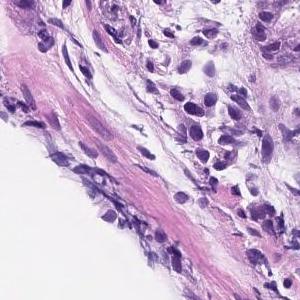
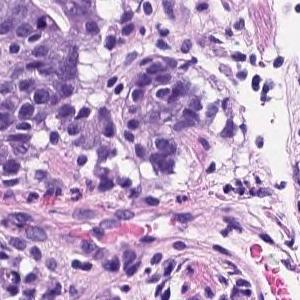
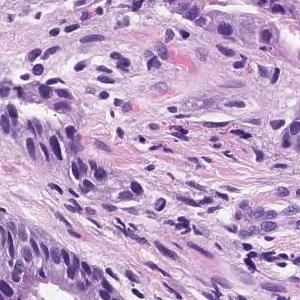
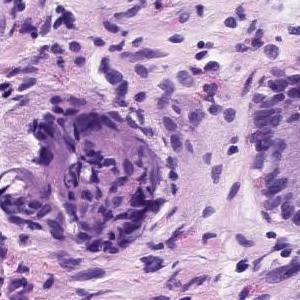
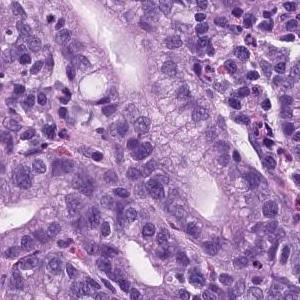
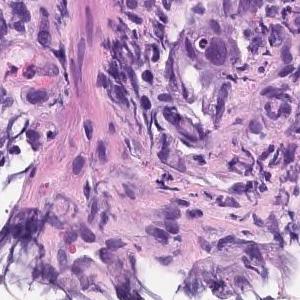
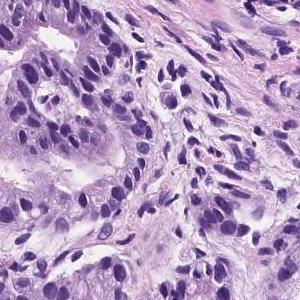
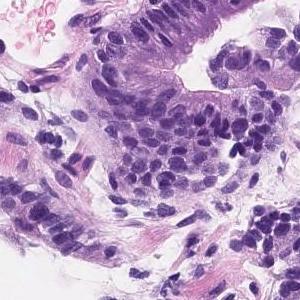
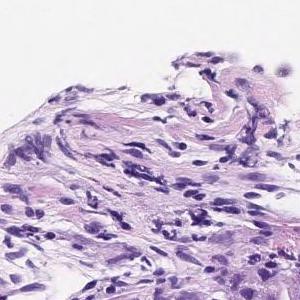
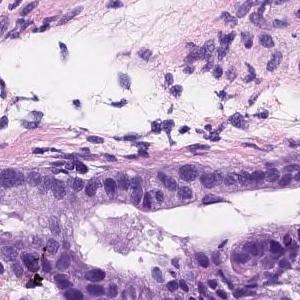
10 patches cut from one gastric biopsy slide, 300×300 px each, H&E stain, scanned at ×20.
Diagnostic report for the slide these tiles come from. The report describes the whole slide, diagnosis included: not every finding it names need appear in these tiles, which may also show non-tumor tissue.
Tumor tissue consisting of medium-sized and irregular ducts is observed infiltrating in the superficial epithelium. Tumor cells are highly columnar, with nuclei aligned basolaterally and polarized. Well differentiated tubular adenocarcinoma.
